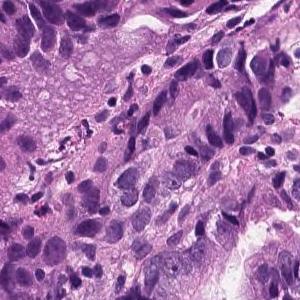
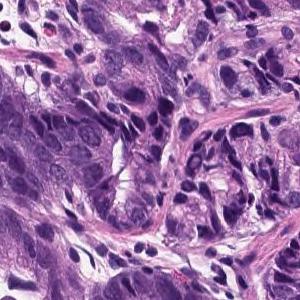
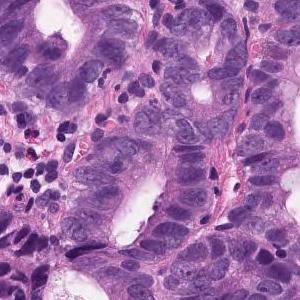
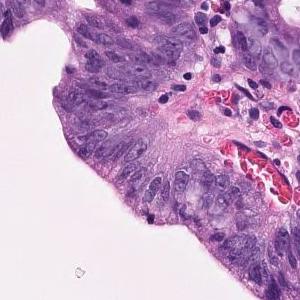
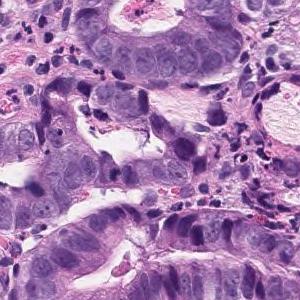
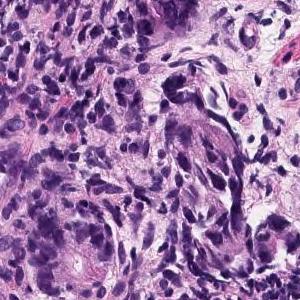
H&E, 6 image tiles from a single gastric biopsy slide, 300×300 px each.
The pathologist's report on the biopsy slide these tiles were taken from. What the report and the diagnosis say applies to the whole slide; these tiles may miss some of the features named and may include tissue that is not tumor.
The swollen atypical epithelium of the nucleus forms an irregular ductal structure and proliferates. moderately differentiated tubular adenocarcinoma
